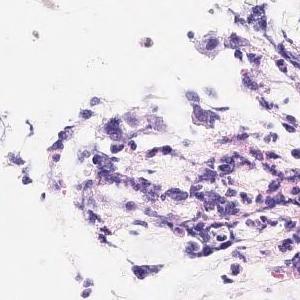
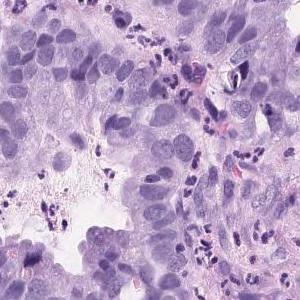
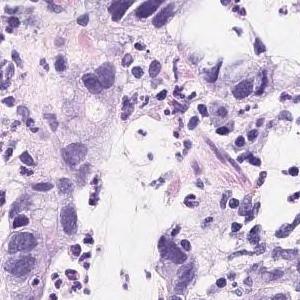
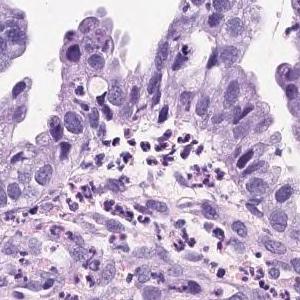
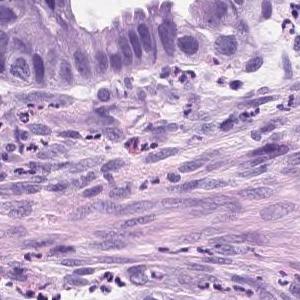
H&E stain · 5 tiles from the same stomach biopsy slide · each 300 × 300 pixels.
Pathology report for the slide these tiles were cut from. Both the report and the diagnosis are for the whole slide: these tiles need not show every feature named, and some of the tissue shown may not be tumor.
Atypical l cells with atypical nuclei forming solid or diffuse vesicles or small irregular atypical ducts and growing in a complex manner. Well differentiated tubular adenocarcinoma
